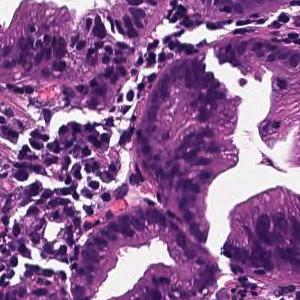
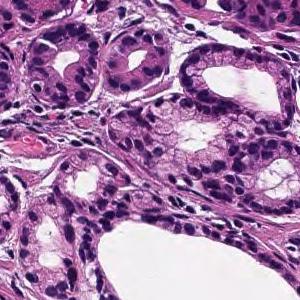
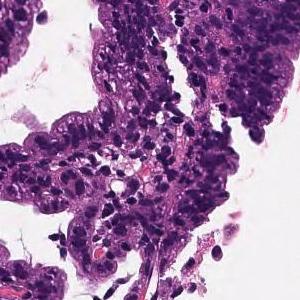
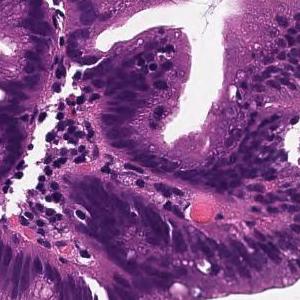
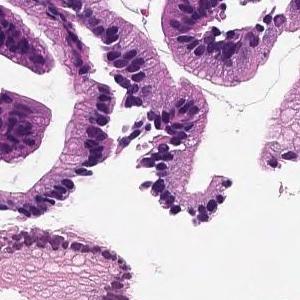
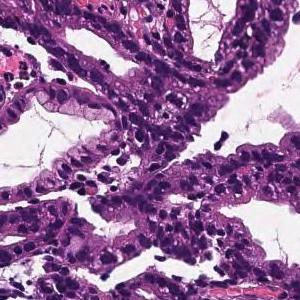
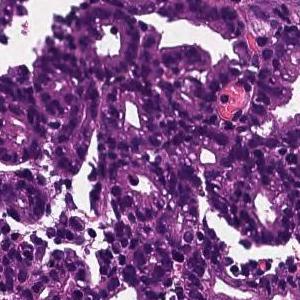
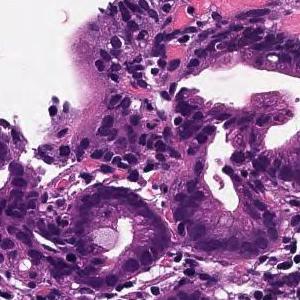
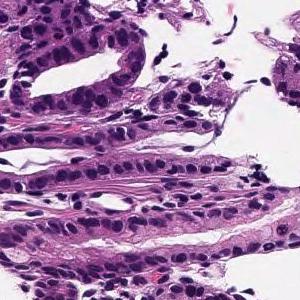
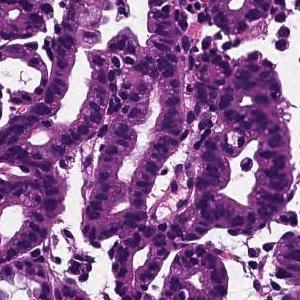
10 tiles from the same stomach biopsy slide; scanned at ×20; H&E.
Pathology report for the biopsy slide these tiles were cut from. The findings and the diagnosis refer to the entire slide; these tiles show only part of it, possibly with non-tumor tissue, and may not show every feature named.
Cells with elliptical or atypical nuclei form dense ducts with relatively clear growth. Well differentiated tubular adenocarcinoma
